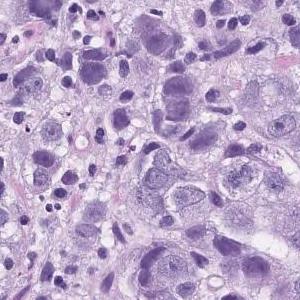
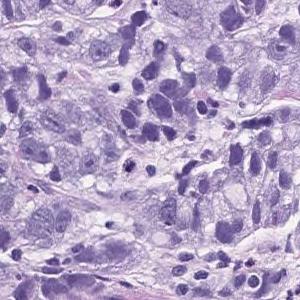
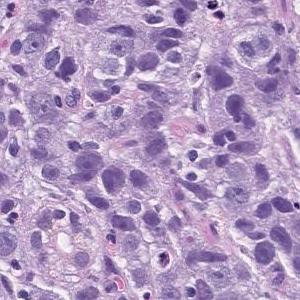
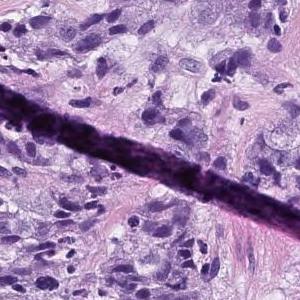
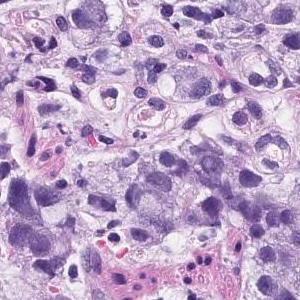
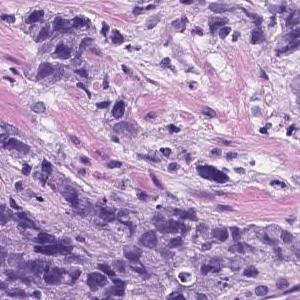
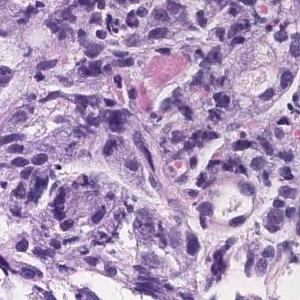
7 tiles cut from one stomach biopsy slide · 300 × 300 pixels each · H&E.
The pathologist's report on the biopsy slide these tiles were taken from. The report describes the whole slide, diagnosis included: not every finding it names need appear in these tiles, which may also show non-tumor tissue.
Atypical l cells with atypical nuclei forming solid vesicles or small irregular atypical ducts that proliferate in a complex manner. poorly differentiated adenocarcinoma, solid type, moderately differentiated tubular adenocarcinoma
The solid type named here is a Japanese Classification of Gastric Carcinoma category; WHO 2019 calls it tubular adenocarcinoma, poorly differentiated.
